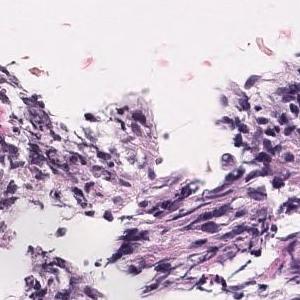
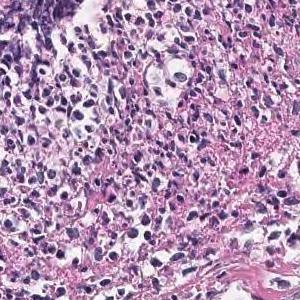
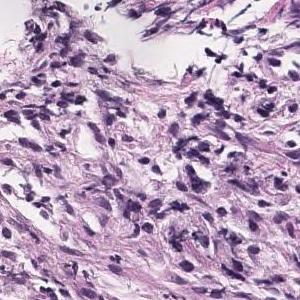
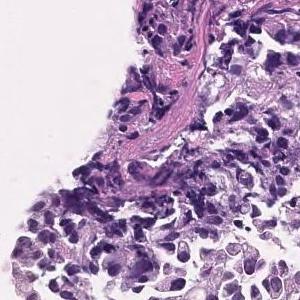
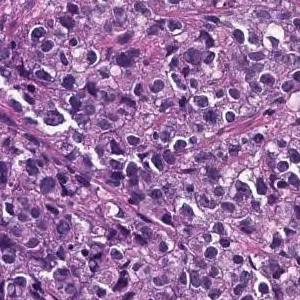
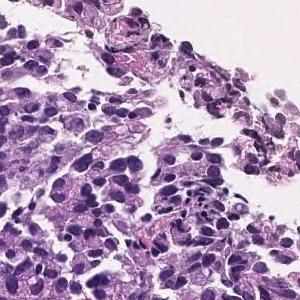
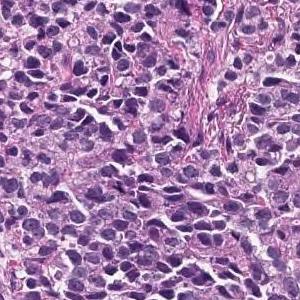
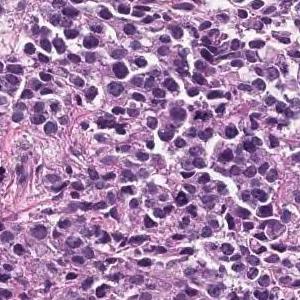
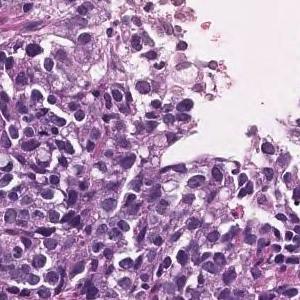
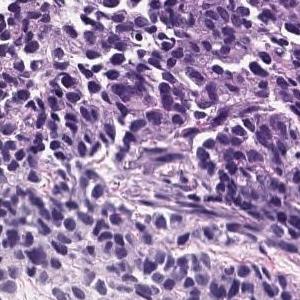
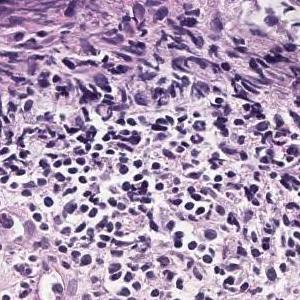
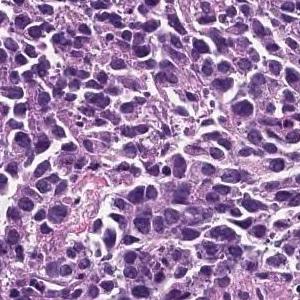
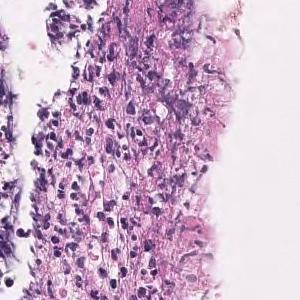
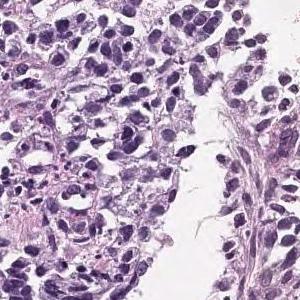
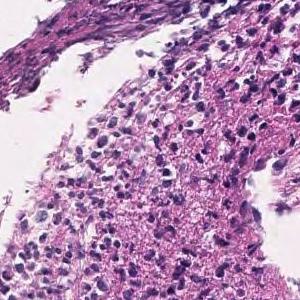
Scanned at ×20, hematoxylin and eosin stain, 15 tiles from the same stomach biopsy slide.
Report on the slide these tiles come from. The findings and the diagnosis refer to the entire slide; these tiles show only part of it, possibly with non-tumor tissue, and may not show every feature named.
The superficial epithelium shows a large sheet-like shape, and some tumor tissue infiltrates with small irregular ducts. Poorly differentiated adenocarcinoma, solid-type
Tumor subtype: poorly differentiated adenocarcinoma, solid type (Japanese Classification of Gastric Carcinoma). The WHO 2019 equivalent is tubular adenocarcinoma, poorly differentiated.
